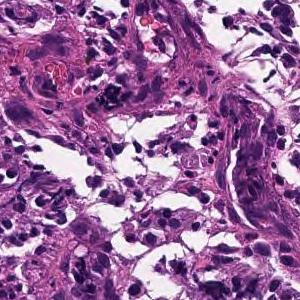
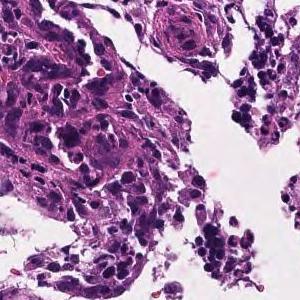
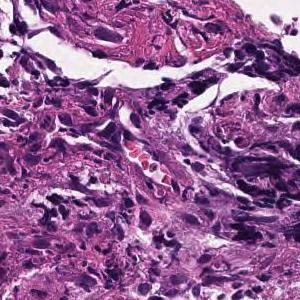
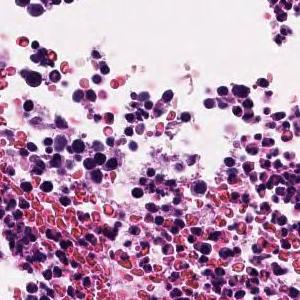
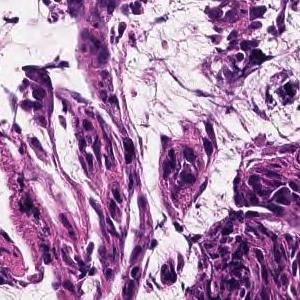
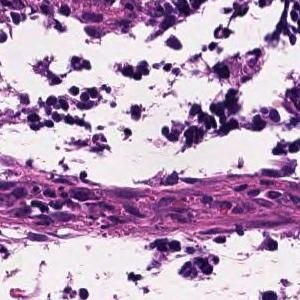
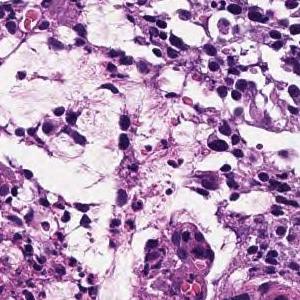
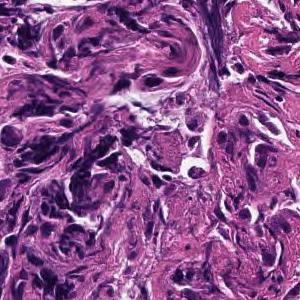
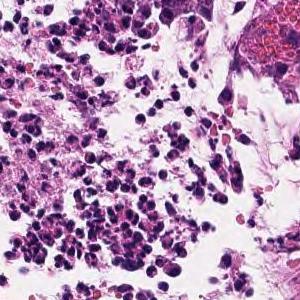
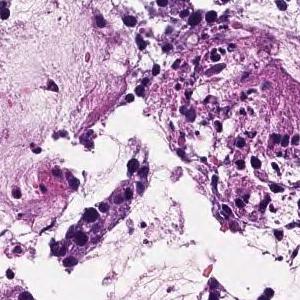
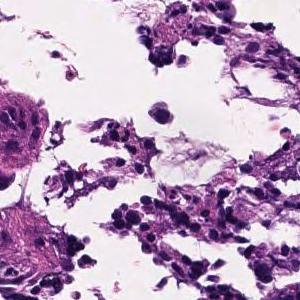
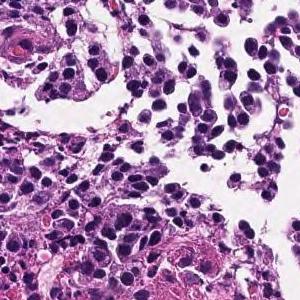
H&E, scanned at ×20, 12 tiles cut from one stomach biopsy slide.
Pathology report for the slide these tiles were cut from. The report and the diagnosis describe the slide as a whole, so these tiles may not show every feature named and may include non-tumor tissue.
The superficial epithelium shows a large sheet-like shape, and some tumor tissue infiltrates with small irregular ducts. Poorly differentiated adenocarcinoma, solid-type
Histologic type: Poorly differentiated adenocarcinoma, solid type. This name comes from the Japanese Classification of Gastric Carcinoma; the WHO 2019 classification calls it tubular adenocarcinoma, poorly differentiated.
